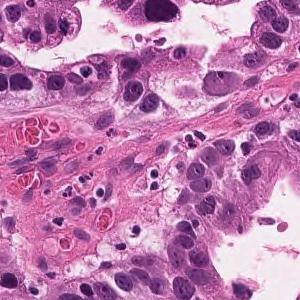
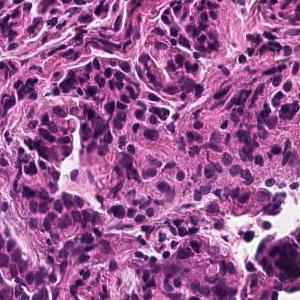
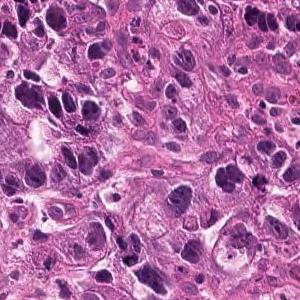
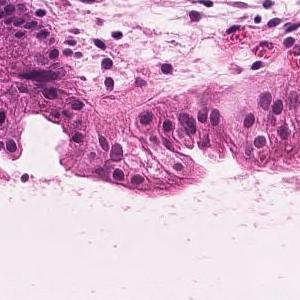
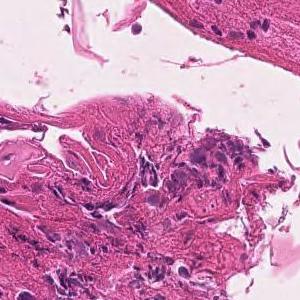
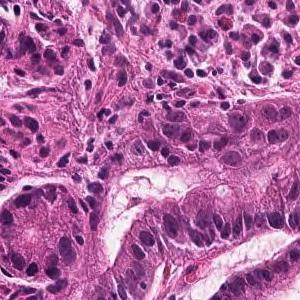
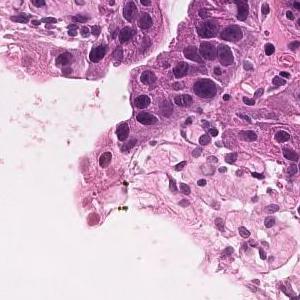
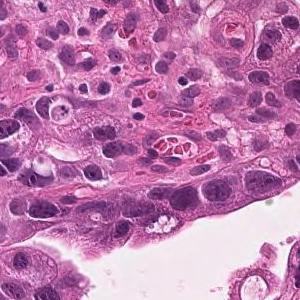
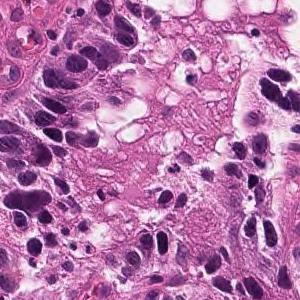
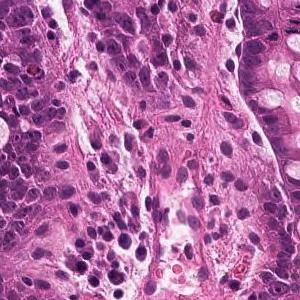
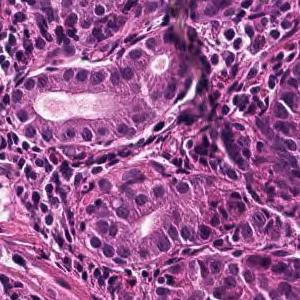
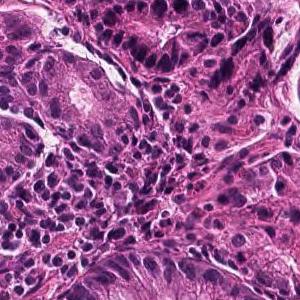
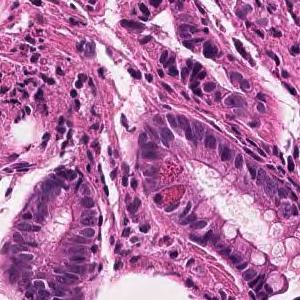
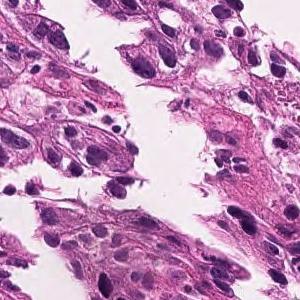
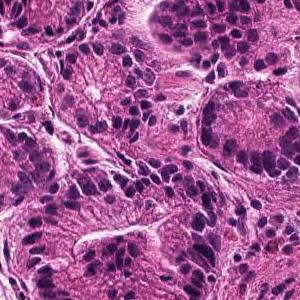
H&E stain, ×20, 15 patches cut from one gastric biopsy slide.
Pathology report for the biopsy slide these tiles were cut from. The report and the diagnosis describe the slide as a whole, so these tiles may not show every feature named and may include non-tumor tissue.
Tumor tissue consisting of medium-sized, cord-like or irregular glandular infiltration is observed in the superficial epithelium. Poorly differentiated adenocarcinoma, non-solid type or moderately differentiated tubular adenocarcinoma
Classified as moderately to poorly differentiated adenocarcinoma.
The non-solid type named here is a Japanese Classification of Gastric Carcinoma category.
